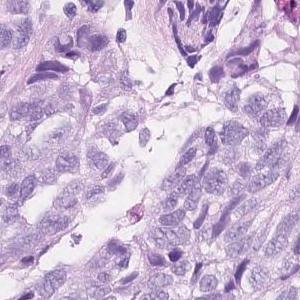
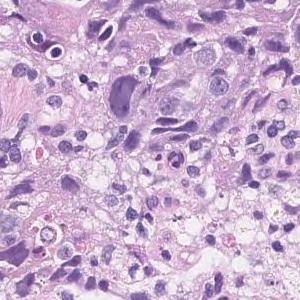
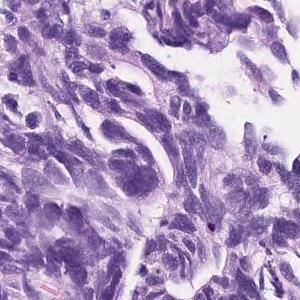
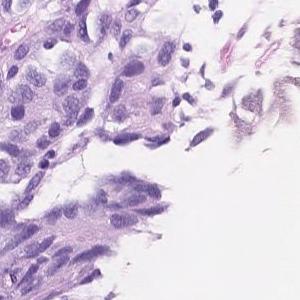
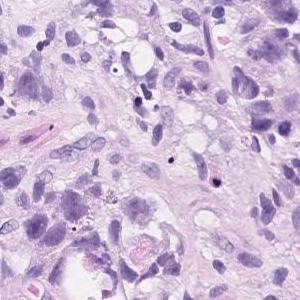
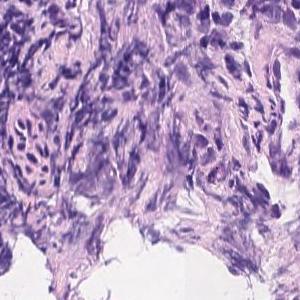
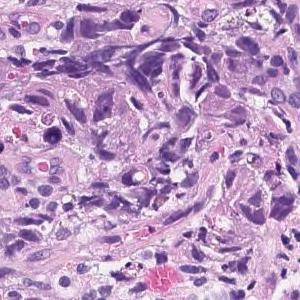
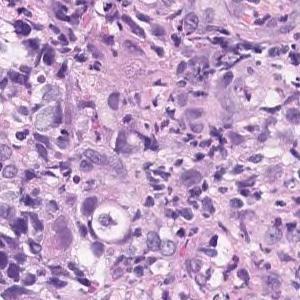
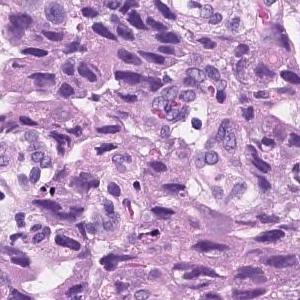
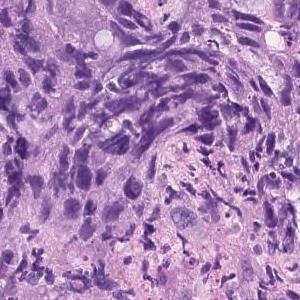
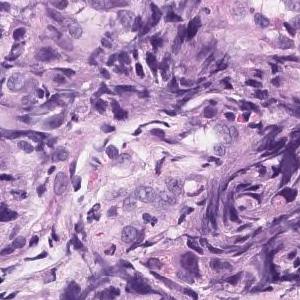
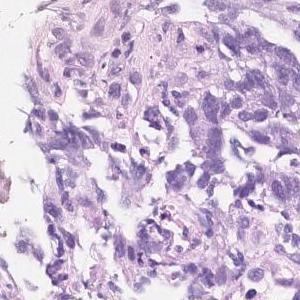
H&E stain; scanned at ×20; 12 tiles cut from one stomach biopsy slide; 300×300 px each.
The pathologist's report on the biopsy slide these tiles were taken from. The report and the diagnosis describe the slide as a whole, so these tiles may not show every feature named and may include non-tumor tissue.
Atypical epithelial cells infiltrating and proliferating diffusely or while forming vesicles is observed. Poorly differentiated adenocarcinoma (poorly differentiated adenocarcinoma, solid type moderately differentiated tubular adenocarcinoma)
Labeled in the dataset as poorly differentiated adenocarcinoma, solid type (Japanese Classification of Gastric Carcinoma). The WHO 2019 equivalent is tubular adenocarcinoma, poorly differentiated.
